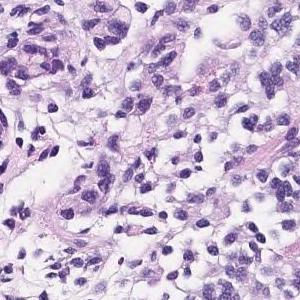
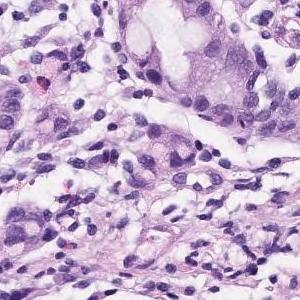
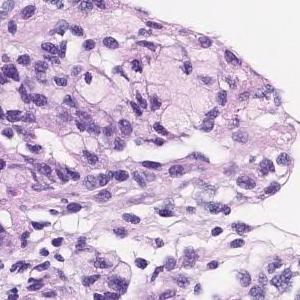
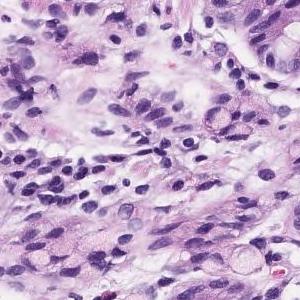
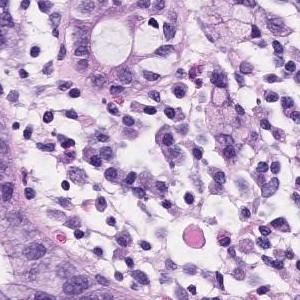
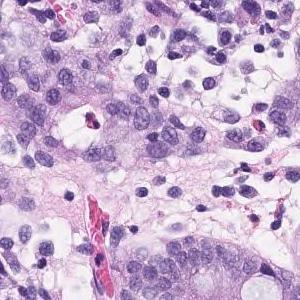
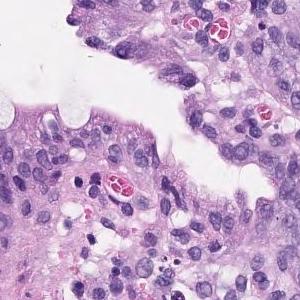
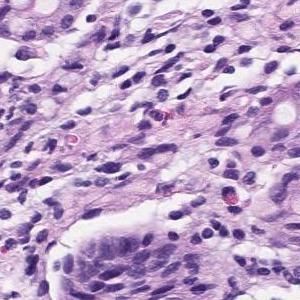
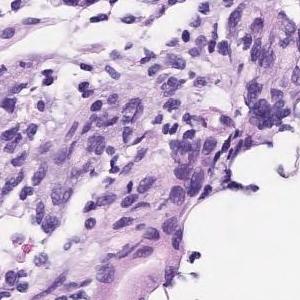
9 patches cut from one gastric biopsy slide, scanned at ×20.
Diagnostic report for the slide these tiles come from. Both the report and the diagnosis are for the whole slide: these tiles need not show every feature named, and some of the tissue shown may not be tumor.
Atypical l cells with atypical nuclei forming diffuse or small irregular atypical ducts and growing. Moderately to poorly differentiated adenocarcinoma (poorly differentiated adenocarcinoma, solid type moderately differentiated tubular adenocarcinoma)
Histologic type: Moderately to poorly differentiated adenocarcinoma.
The solid type named here is a Japanese Classification of Gastric Carcinoma category; WHO 2019 calls it tubular adenocarcinoma, poorly differentiated.
